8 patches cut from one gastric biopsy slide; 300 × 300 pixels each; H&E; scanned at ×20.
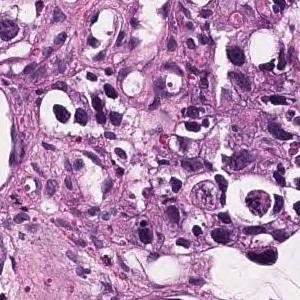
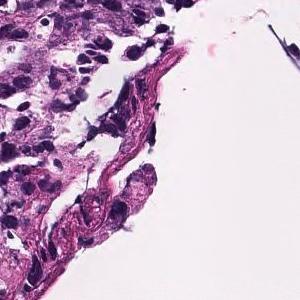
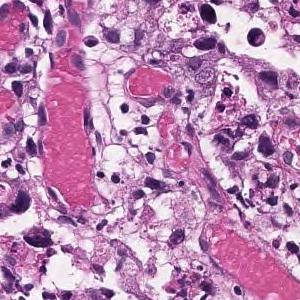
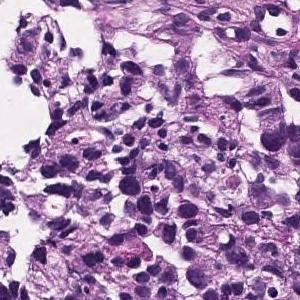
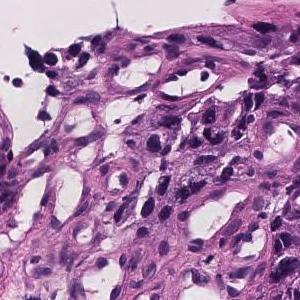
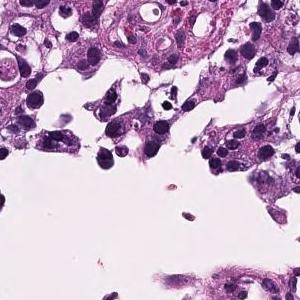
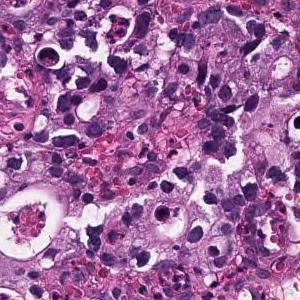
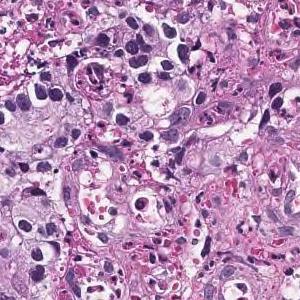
Pathology report for the biopsy slide these tiles were cut from. Both the report and the diagnosis are for the whole slide: these tiles need not show every feature named, and some of the tissue shown may not be tumor.
Tumor tissue consisting of medium-sized, cord-like or irregular glandular infiltration is observed in the superficial epithelium. Poorly differentiated adenocarcinoma, non-solid type or moderately differentiated tubular adenocarcinoma
The term "non-solid type" comes from the Japanese Classification of Gastric Carcinoma.
